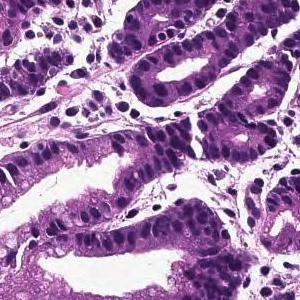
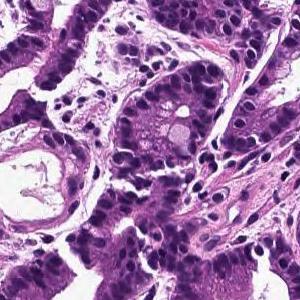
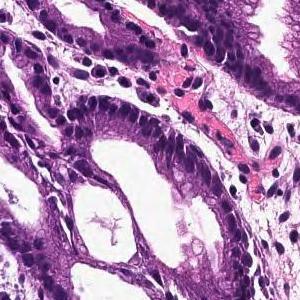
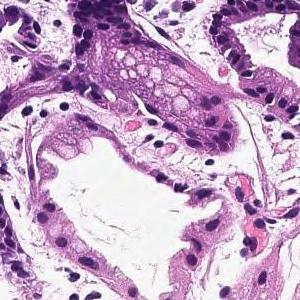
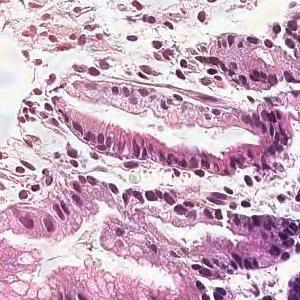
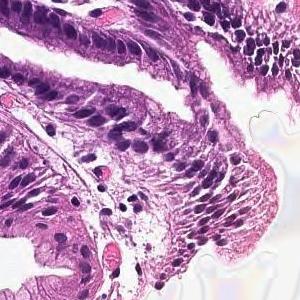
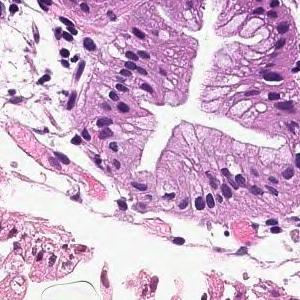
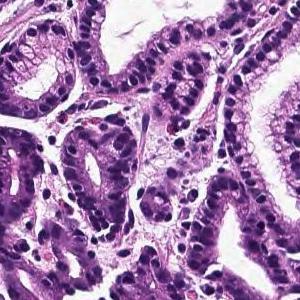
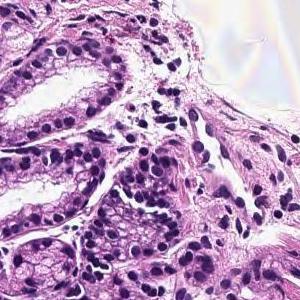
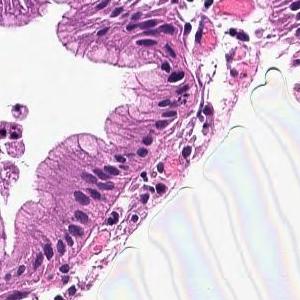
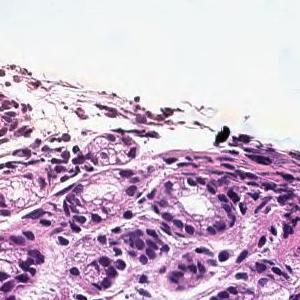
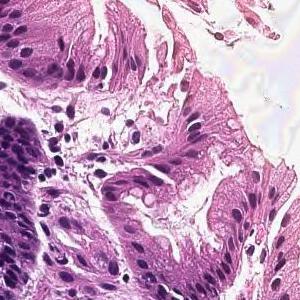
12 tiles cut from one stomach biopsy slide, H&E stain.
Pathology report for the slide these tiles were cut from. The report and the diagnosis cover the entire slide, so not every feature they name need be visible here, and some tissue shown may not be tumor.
In the superficial epithelium, tumor tissue that invades by forming medium-sized to small, irregular ducts is observed. moderately differentiated tubular adenocarcinoma.
